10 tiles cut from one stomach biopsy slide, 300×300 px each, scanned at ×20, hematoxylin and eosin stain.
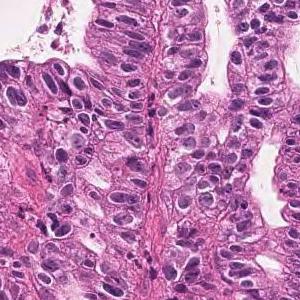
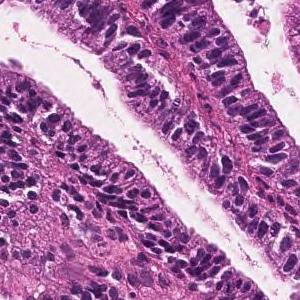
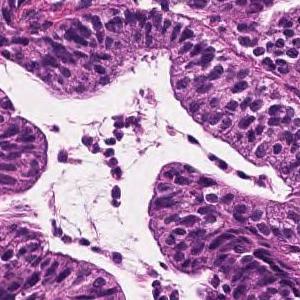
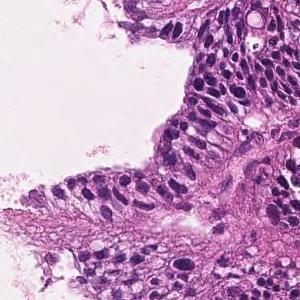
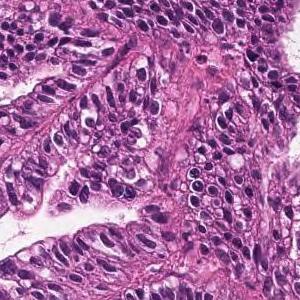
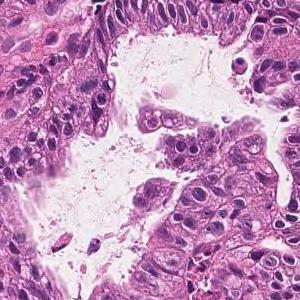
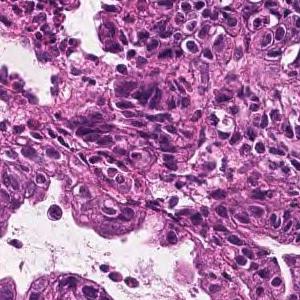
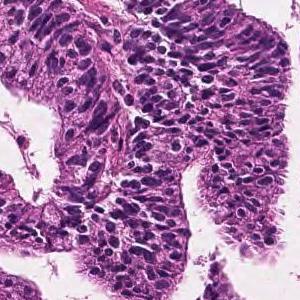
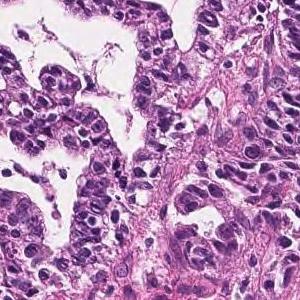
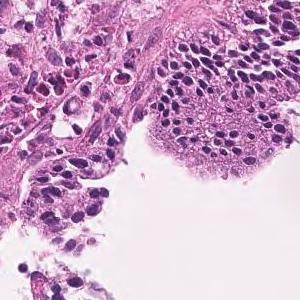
Pathology report for the biopsy slide these tiles were cut from. The report describes the whole slide, diagnosis included: not every finding it names need appear in these tiles, which may also show non-tumor tissue.
Tumor cells are large, highly columnar, large club-shaped nuclei, and are associated with chromatin aggregation. Papillary adenocarcinoma.
